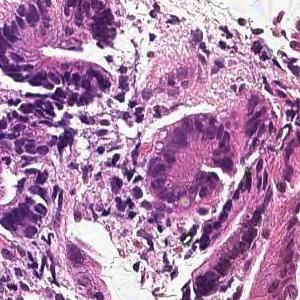
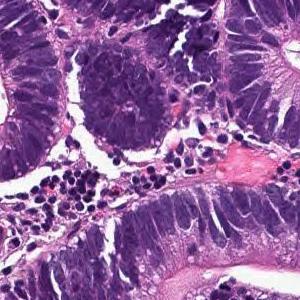
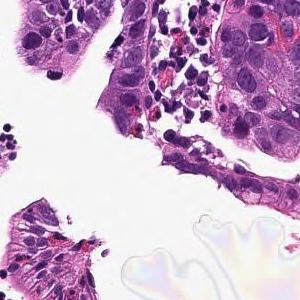
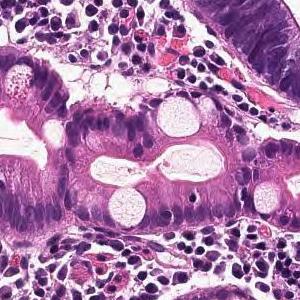
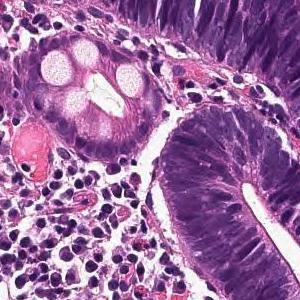
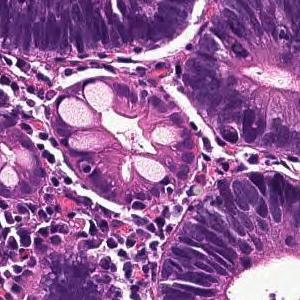
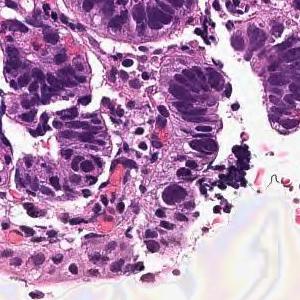
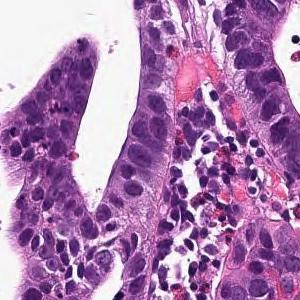
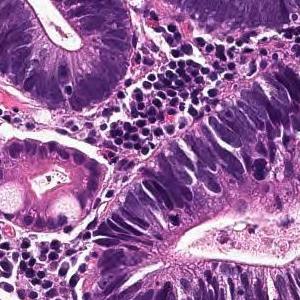
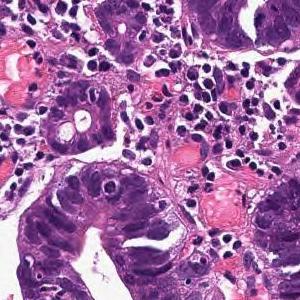
10 image tiles from a single gastric biopsy slide, each 300 × 300 pixels.
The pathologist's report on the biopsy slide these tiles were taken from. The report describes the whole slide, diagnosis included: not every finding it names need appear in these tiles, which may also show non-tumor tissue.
Tumor cells are large, highly columnar, large club-shaped nuclei, and are associated with chromatin aggregation. Papillary adenocarcinoma.
